H&E stain; ×20; 15 tiles cut from one stomach biopsy slide.
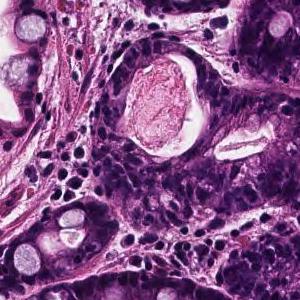
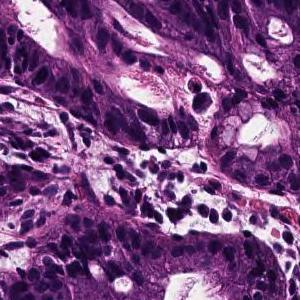
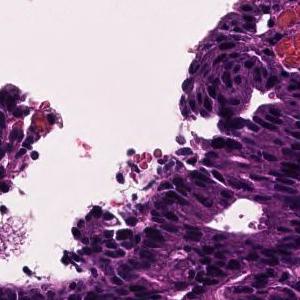
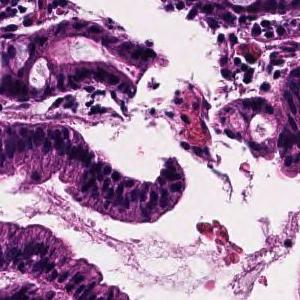
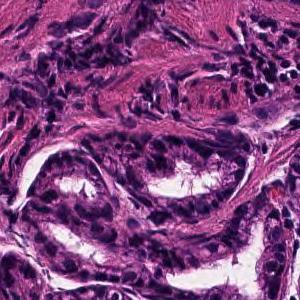
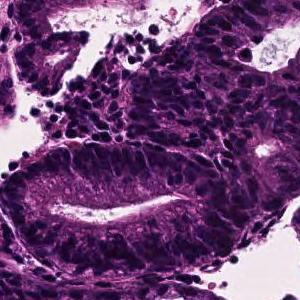
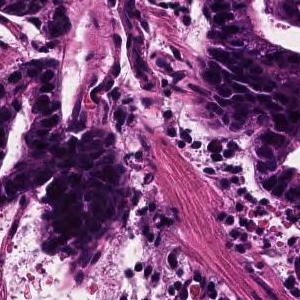
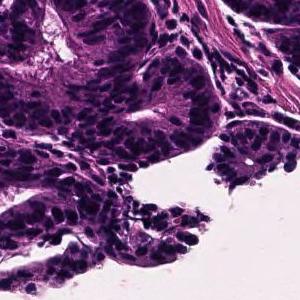
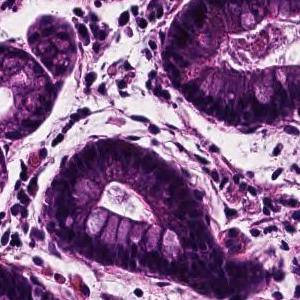
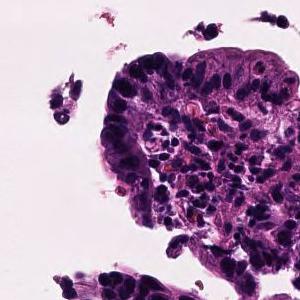
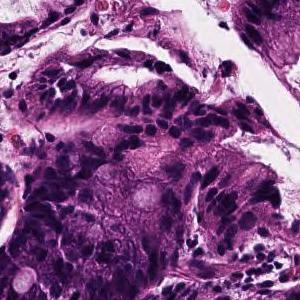
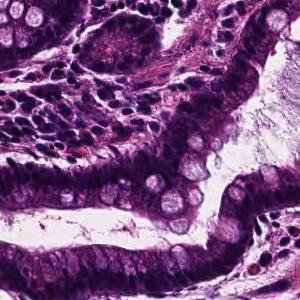
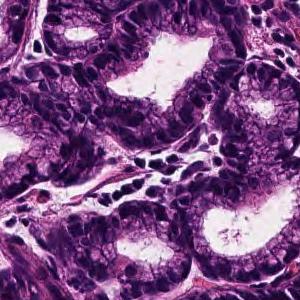
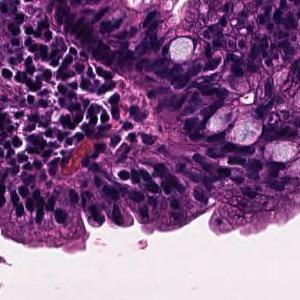
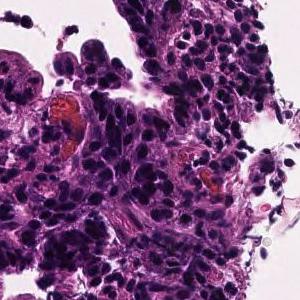
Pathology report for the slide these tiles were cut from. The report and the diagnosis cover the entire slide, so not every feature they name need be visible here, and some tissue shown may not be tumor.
In the superficial epithelium, tumor tissue infiltrated by partial fusion of medium-sized to small, irregular glandular ducts is observed. moderately differentiated tubular adenocarcinoma
